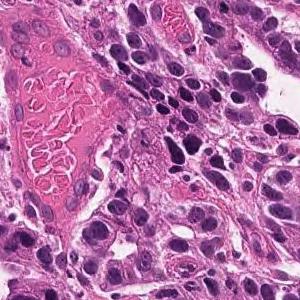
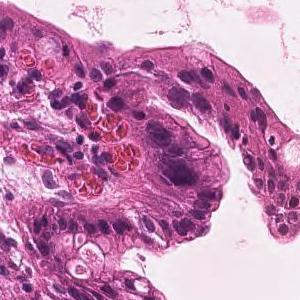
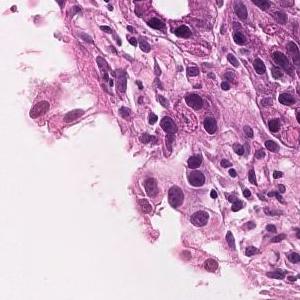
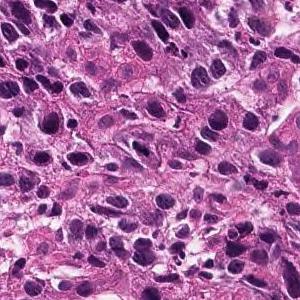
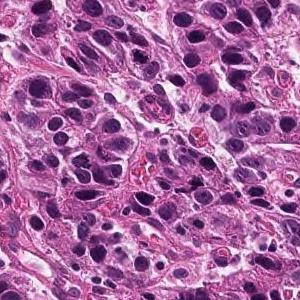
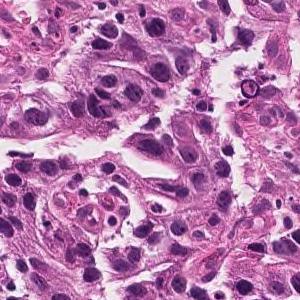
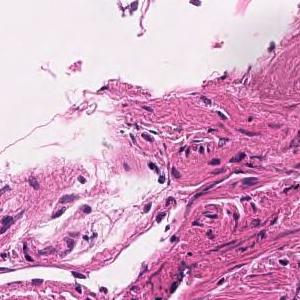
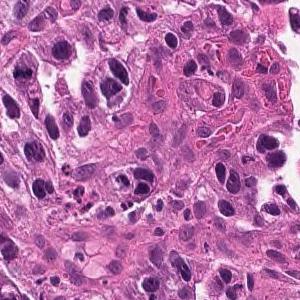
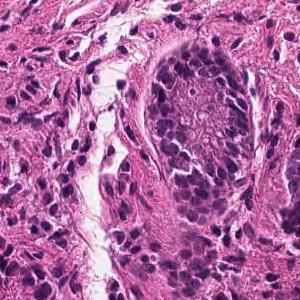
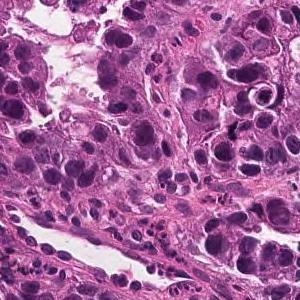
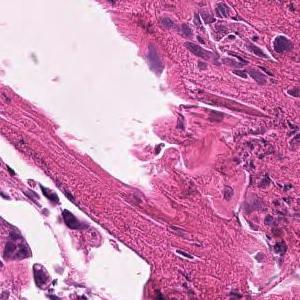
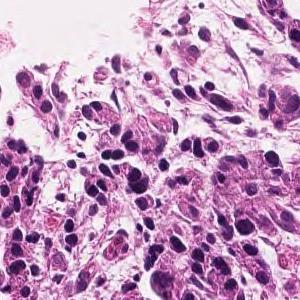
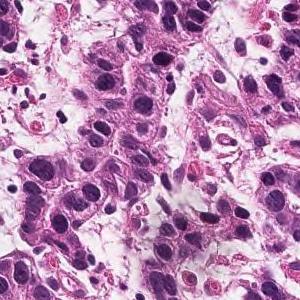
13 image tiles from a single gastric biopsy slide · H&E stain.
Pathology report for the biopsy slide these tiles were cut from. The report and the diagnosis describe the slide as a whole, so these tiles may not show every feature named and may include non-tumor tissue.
Tumor tissue consisting of medium-sized, cord-like or irregular glandular infiltration is observed in the superficial epithelium. Poorly differentiated adenocarcinoma, non-solid type or moderately differentiated tubular adenocarcinoma
Histologic type: Moderately to poorly differentiated adenocarcinoma.
The term "non-solid type" comes from the Japanese Classification of Gastric Carcinoma.
